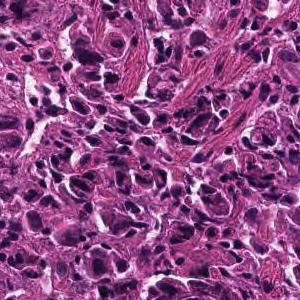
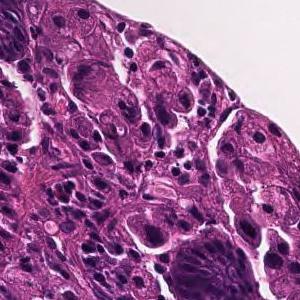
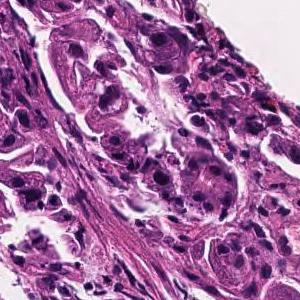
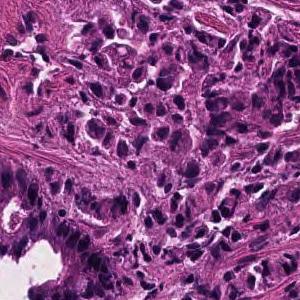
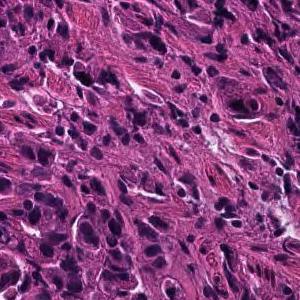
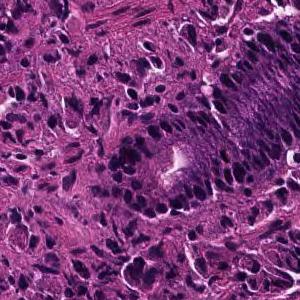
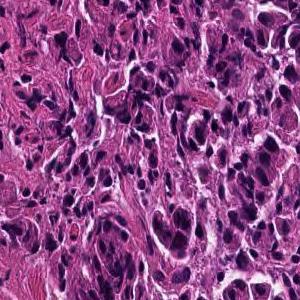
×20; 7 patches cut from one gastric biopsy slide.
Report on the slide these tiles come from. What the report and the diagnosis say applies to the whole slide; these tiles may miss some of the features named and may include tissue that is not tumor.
Tumor tissue consisting of cord-like or small, irregular glandular ducts fused and infiltrated is observed in the superficial epithelium. Poorly differentiated adenocarcinoma, non-solid type
The non-solid type named here is a Japanese Classification of Gastric Carcinoma category.
